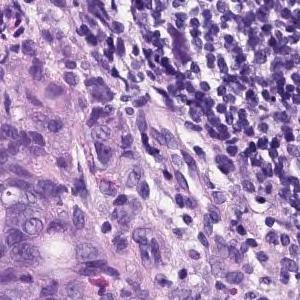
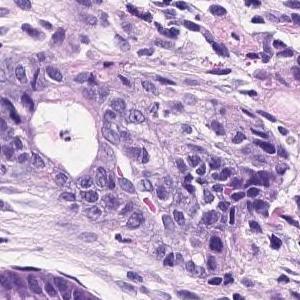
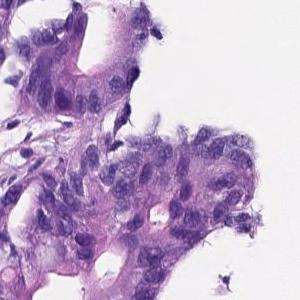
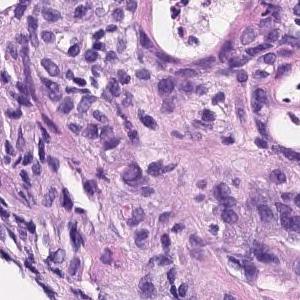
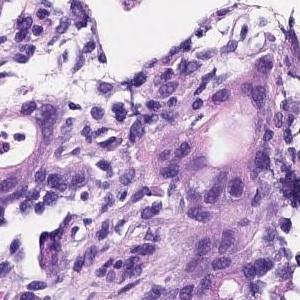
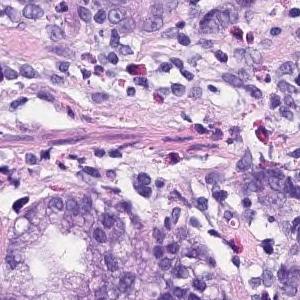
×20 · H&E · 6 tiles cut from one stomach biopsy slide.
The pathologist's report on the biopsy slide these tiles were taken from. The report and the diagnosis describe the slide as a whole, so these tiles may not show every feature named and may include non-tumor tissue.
Irregularly fused atypical ducts proliferating while replacing existing ducts was observed. moderately differentiated tubular adenocarcinoma
